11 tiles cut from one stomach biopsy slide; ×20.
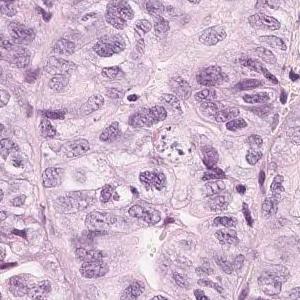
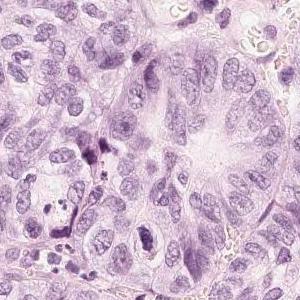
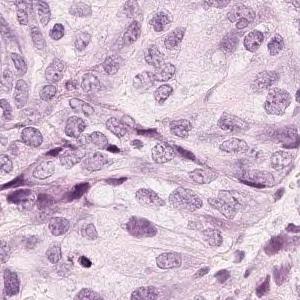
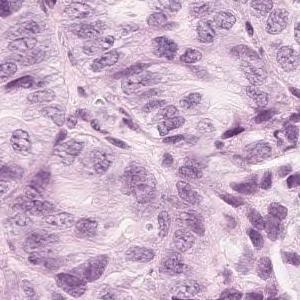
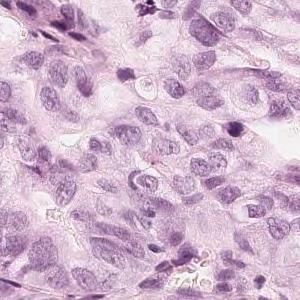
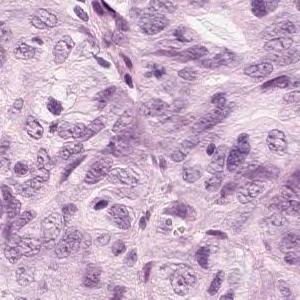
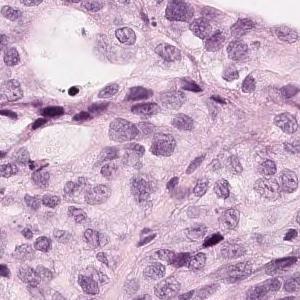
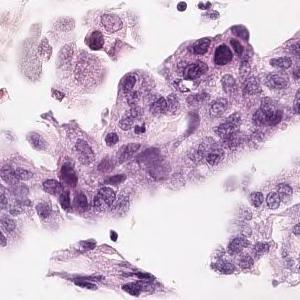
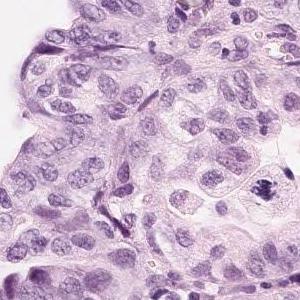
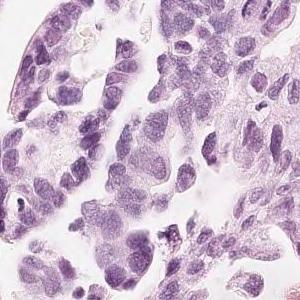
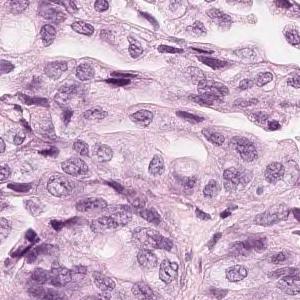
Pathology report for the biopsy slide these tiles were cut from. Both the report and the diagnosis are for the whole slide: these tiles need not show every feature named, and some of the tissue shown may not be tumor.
Tumor tissue in which medium-sized atypical epithelial cells with a large N/C ratio grow densely while becoming alveolar to cord-like with duct formation is observed. moderately differentiated tubular adenocarcinoma
